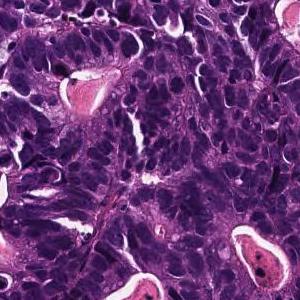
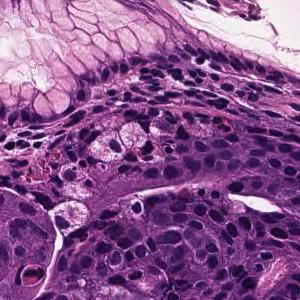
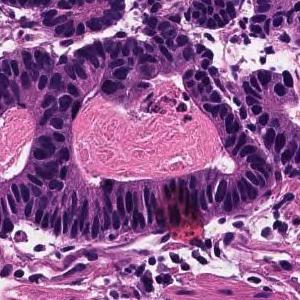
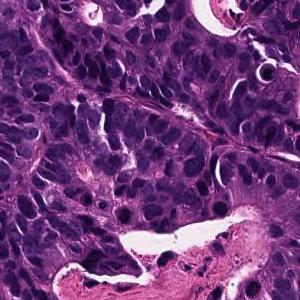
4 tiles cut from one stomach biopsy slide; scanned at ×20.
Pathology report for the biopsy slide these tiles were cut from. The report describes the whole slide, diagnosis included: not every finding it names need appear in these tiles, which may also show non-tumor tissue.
In the superficial epithelium, tumor tissue that invades by forming medium-sized to small, irregular ducts is observed. moderately differentiated tubular adenocarcinoma.
